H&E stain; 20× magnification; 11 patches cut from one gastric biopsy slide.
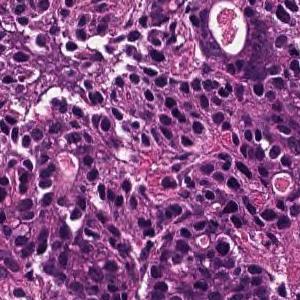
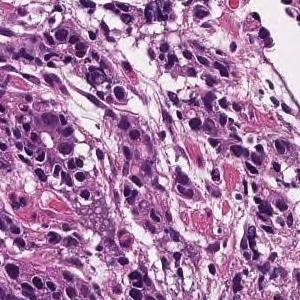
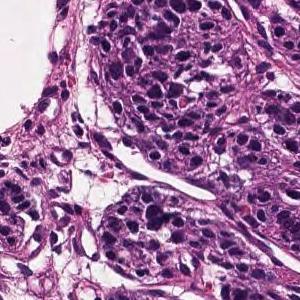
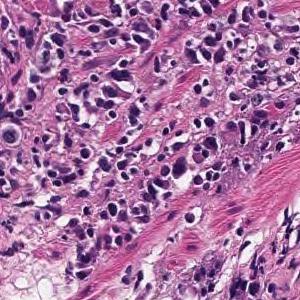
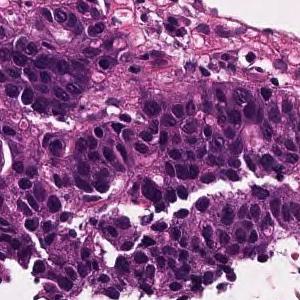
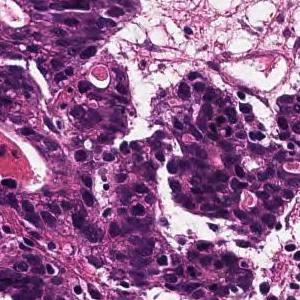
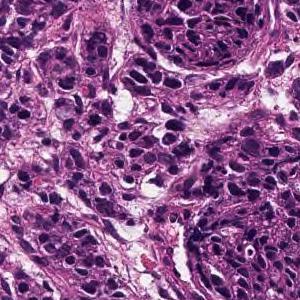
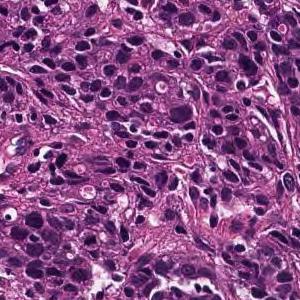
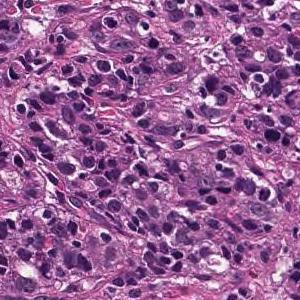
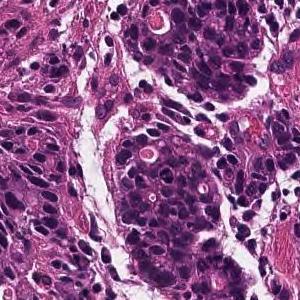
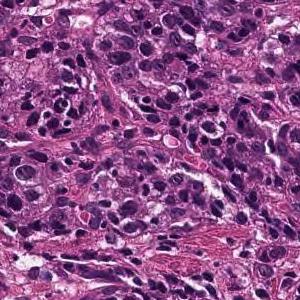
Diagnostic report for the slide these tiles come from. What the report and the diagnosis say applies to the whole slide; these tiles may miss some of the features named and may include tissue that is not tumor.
Medium to small, irregular glandular ducts are formed in the superficial epithelium, and in some cases, the glandular ducts are fused to show solid alveolar lesions and infiltrating tumor tissue is observed. Moderately to poorly differentiated adenocarcinoma.
